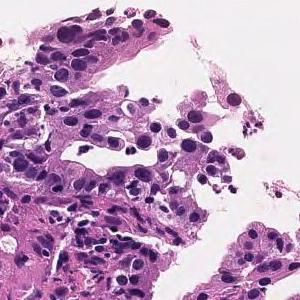
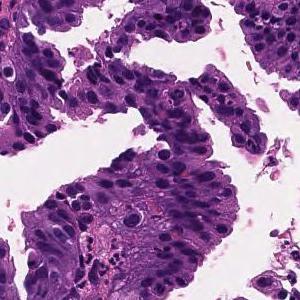
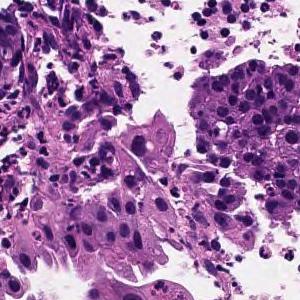
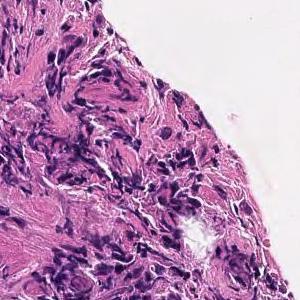
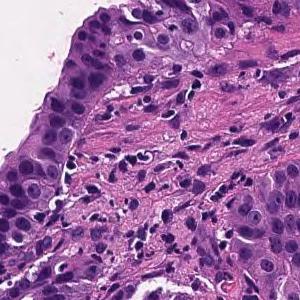
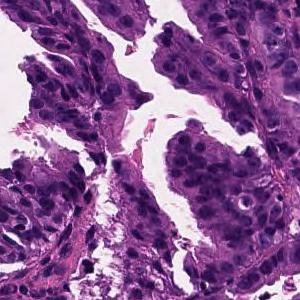
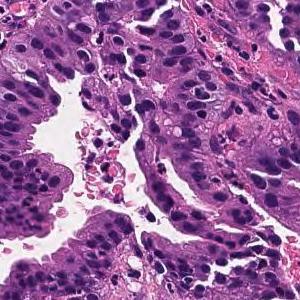
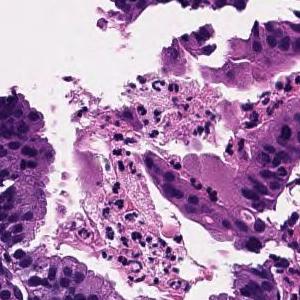
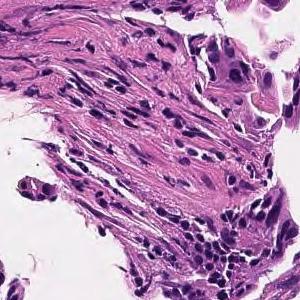
9 patches cut from one gastric biopsy slide; 300×300 px each; H&E stain; scanned at ×20.
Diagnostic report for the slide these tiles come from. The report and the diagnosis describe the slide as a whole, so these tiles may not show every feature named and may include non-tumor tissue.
On the superficial epithelium, tumor tissue consisting of large, irregular glandular ducts partially fused and infiltrated is observed. Well to moderately differentiated tubular adenocarcinoma (well differentiated tubular adenocarcinoma, moderately differentiated tubular adenocarcinoma)
Tumor subtype: well to moderately differentiated tubular adenocarcinoma.
